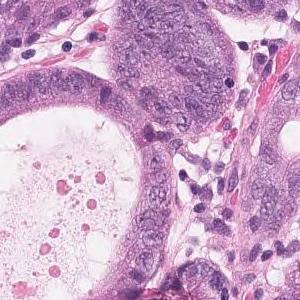
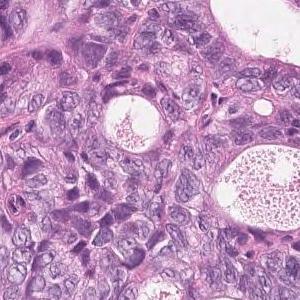
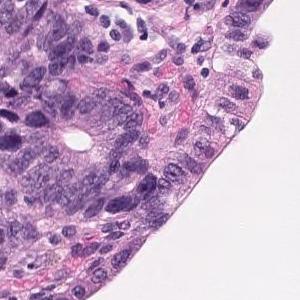
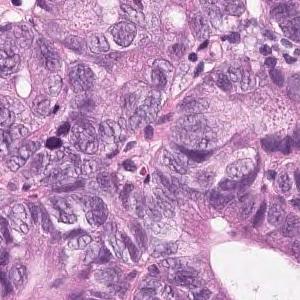
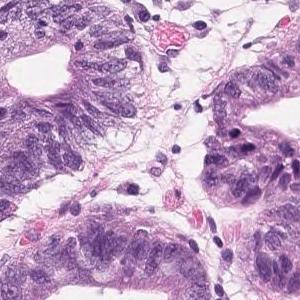
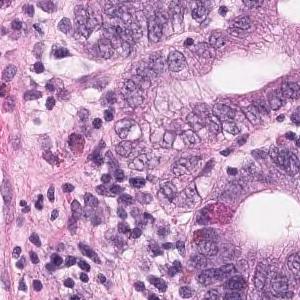
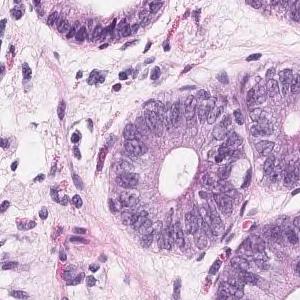
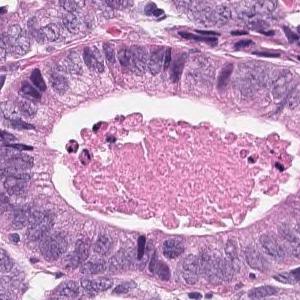
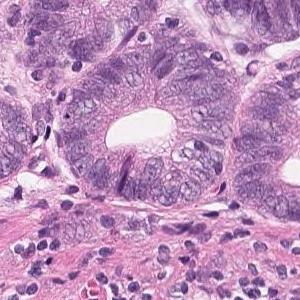
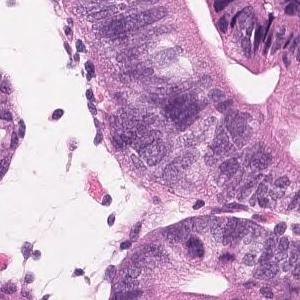
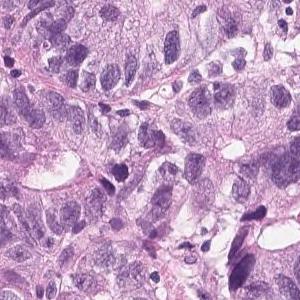
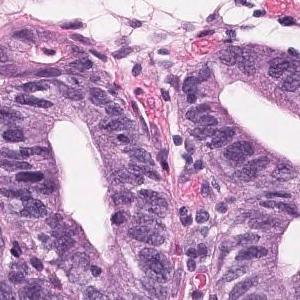
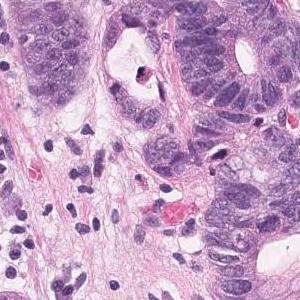
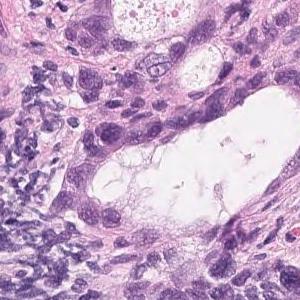
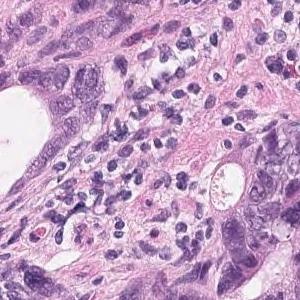
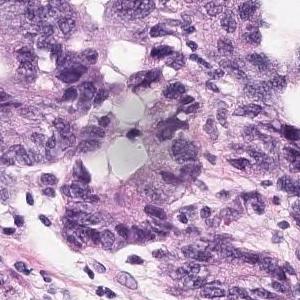
16 tiles from the same stomach biopsy slide; 300 × 300 pixels each.
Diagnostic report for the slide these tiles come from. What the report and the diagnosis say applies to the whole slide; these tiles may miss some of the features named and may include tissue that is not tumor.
Atypical ducts with severe atypia are densely populated in the superficial epithelium, and tumor tissue with hyperplasia is observed. Well differentiated tubular adenocarcinoma
